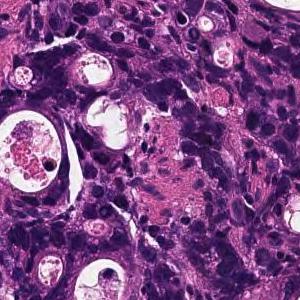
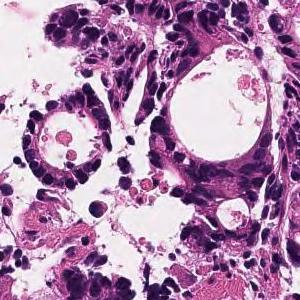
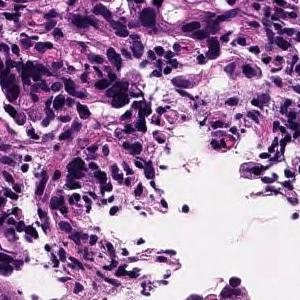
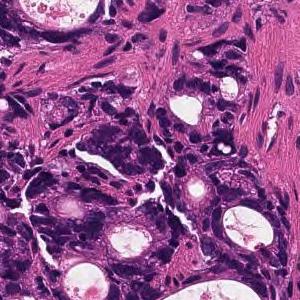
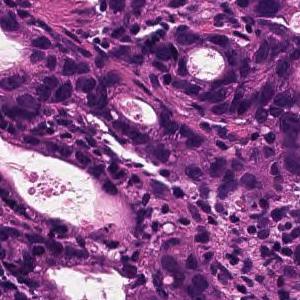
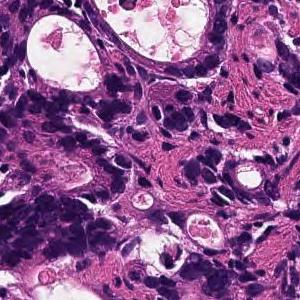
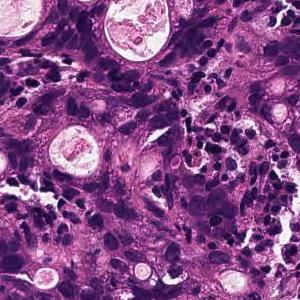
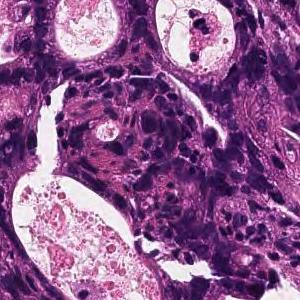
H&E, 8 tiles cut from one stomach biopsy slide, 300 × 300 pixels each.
Diagnostic report for the slide these tiles come from. What the report and the diagnosis say applies to the whole slide; these tiles may miss some of the features named and may include tissue that is not tumor.
In the superficial epithelium, tumor tissue that invades by forming medium-sized to small, irregular ducts is observed. moderately differentiated tubular adenocarcinoma.
